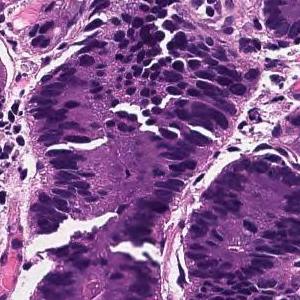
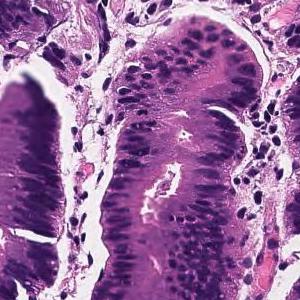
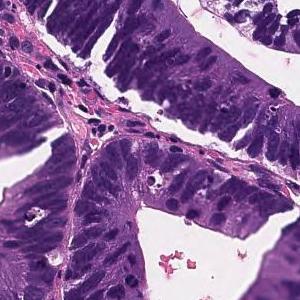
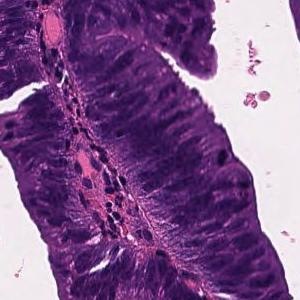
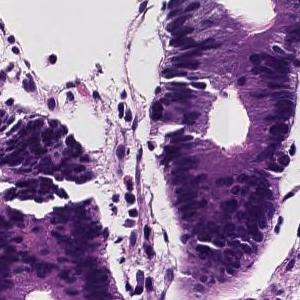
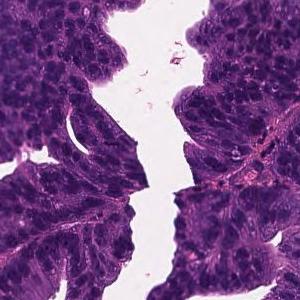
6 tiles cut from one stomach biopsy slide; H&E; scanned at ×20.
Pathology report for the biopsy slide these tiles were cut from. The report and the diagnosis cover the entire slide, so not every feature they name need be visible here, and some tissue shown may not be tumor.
Tumor tissue consisting of large papillary structures is found in the superficial epithelium. Papillary adenocarcinoma.
